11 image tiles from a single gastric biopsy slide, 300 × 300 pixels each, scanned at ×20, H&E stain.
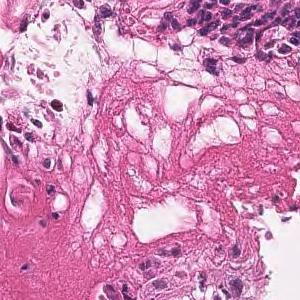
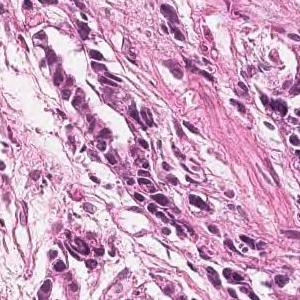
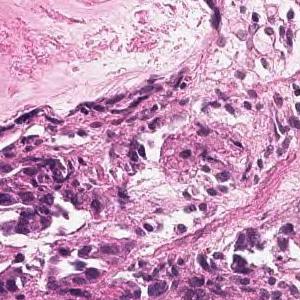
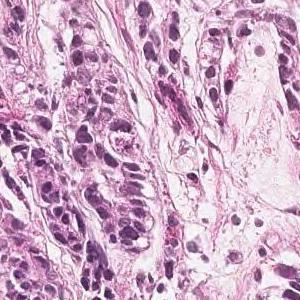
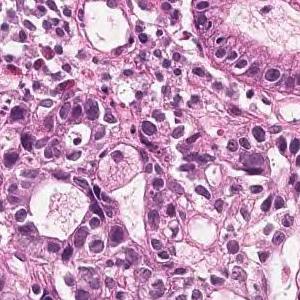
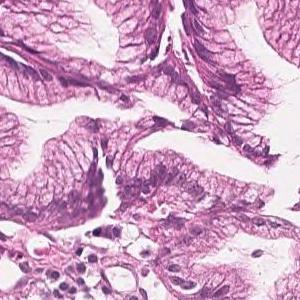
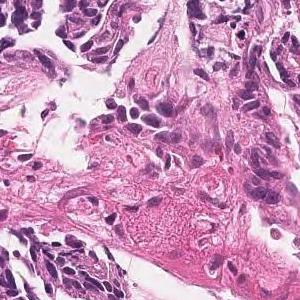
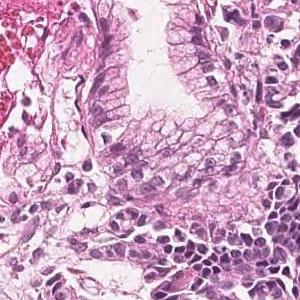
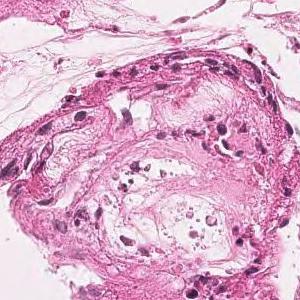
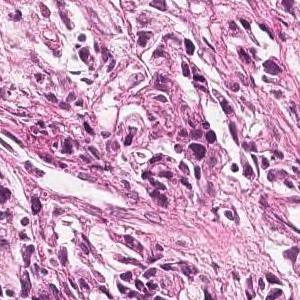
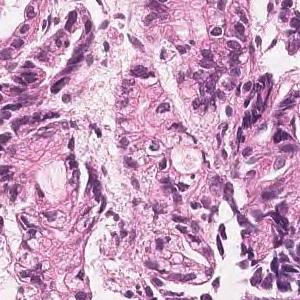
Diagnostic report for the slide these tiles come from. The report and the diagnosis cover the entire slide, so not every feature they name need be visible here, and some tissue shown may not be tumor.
On the superficial epithelium, tumor tissue consisting of large, irregular glandular ducts partially fused and infiltrated is observed. Well to moderately differentiated tubular adenocarcinoma (well differentiated tubular adenocarcinoma, moderately differentiated tubular adenocarcinoma)
Histologic type: Well to moderately differentiated tubular adenocarcinoma.
